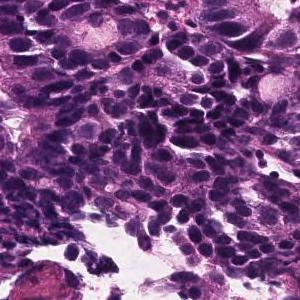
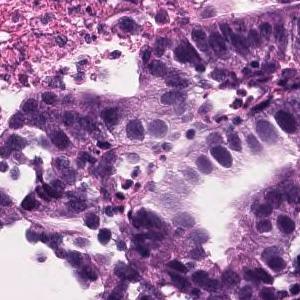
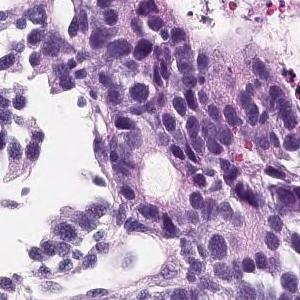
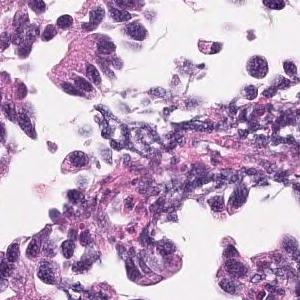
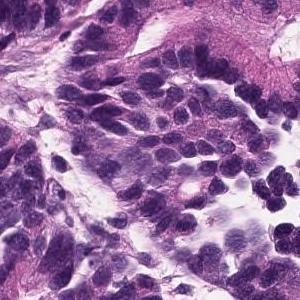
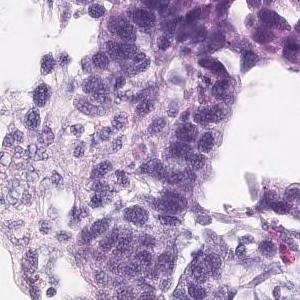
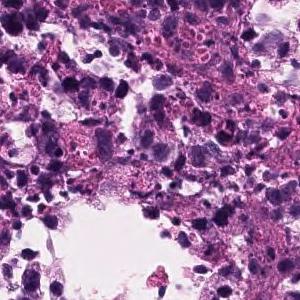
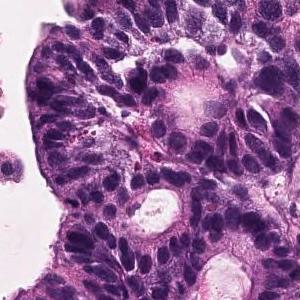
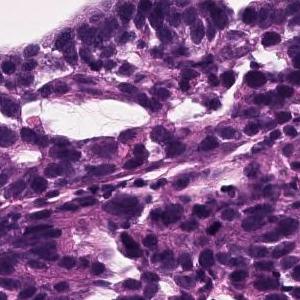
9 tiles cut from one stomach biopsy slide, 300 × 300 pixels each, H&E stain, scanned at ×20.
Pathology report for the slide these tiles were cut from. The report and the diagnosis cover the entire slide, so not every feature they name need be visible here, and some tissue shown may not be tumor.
In the superficial epithelium, tumor tissue that invades by forming medium-sized to small, irregular ducts is observed. moderately differentiated tubular adenocarcinoma.
